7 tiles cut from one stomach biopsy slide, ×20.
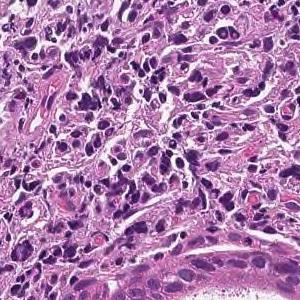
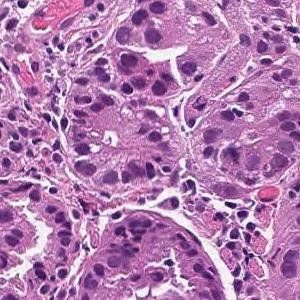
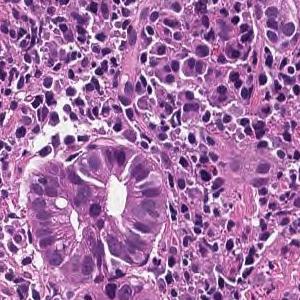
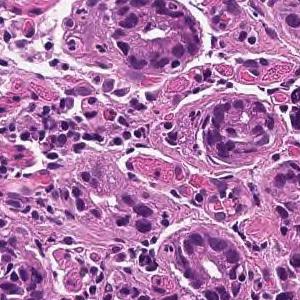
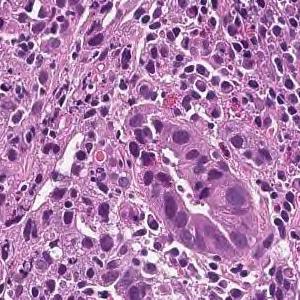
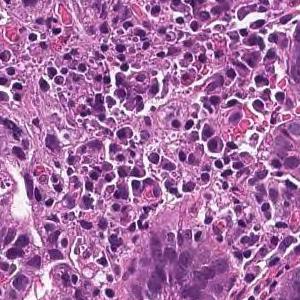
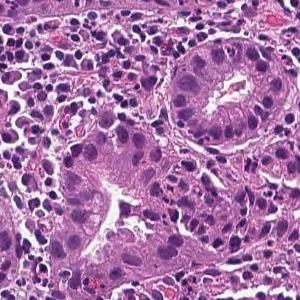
The pathologist's report on the biopsy slide these tiles were taken from. The report and the diagnosis cover the entire slide, so not every feature they name need be visible here, and some tissue shown may not be tumor.
On the superficial epithelium, tumor tissue consisting of large irregular glandular ducts partially fused and infiltrated is observed. Well to moderately differentiated tubular adenocarcinoma (well differentiated tubular adenocarcinoma, moderately differentiated tubular adenocarcinoma)
Classified as well to moderately differentiated tubular adenocarcinoma.
